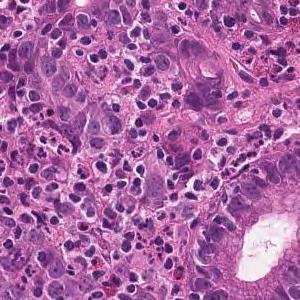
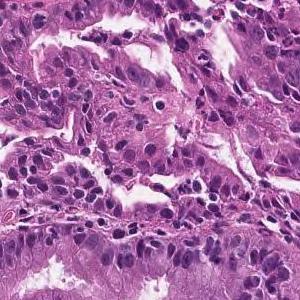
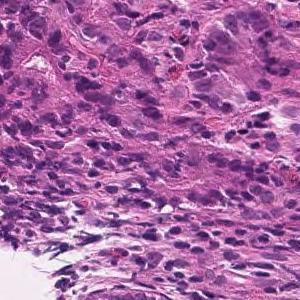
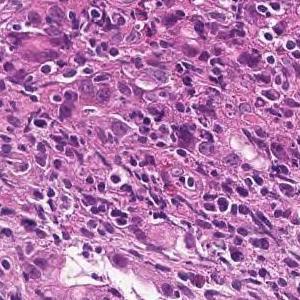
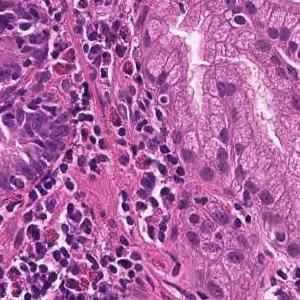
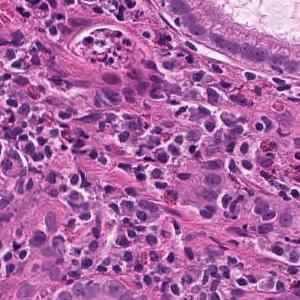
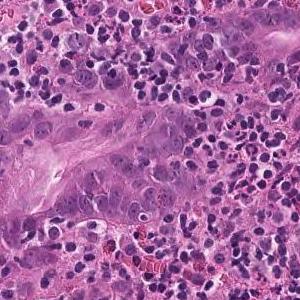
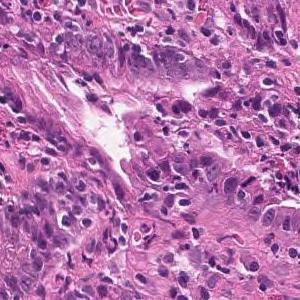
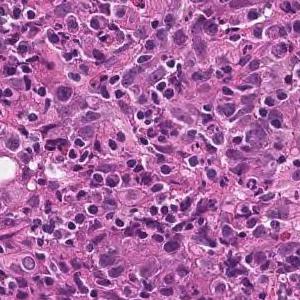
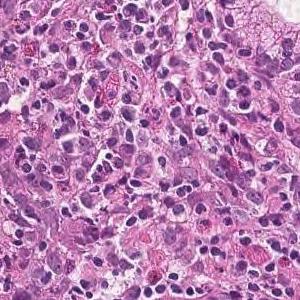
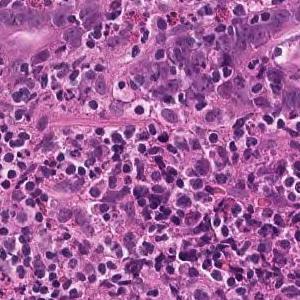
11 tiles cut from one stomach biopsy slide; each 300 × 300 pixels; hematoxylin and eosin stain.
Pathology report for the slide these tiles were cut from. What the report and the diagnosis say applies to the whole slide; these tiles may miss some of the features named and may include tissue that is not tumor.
Tumor tissue consisting of medium-sized, cord-like or irregular glandular infiltration is observed in the superficial epithelium. Poorly differentiated adenocarcinoma, non-solid type or moderately differentiated tubular adenocarcinoma
Dataset label: poorly differentiated adenocarcinoma, non-solid type.
The non-solid type named here is a Japanese Classification of Gastric Carcinoma category.
